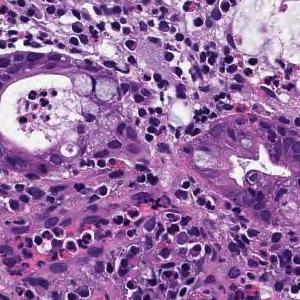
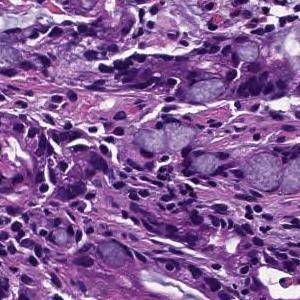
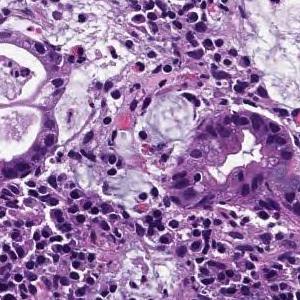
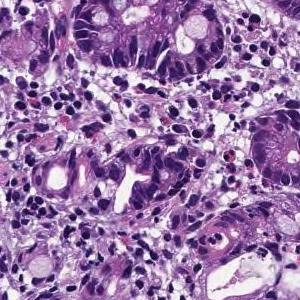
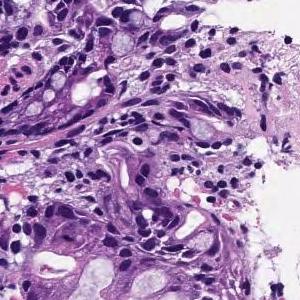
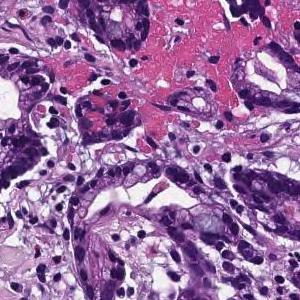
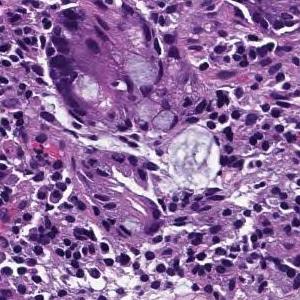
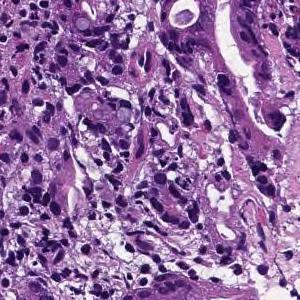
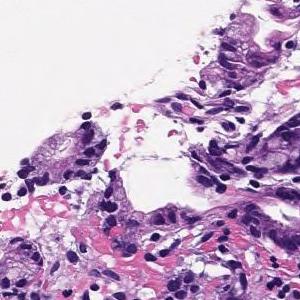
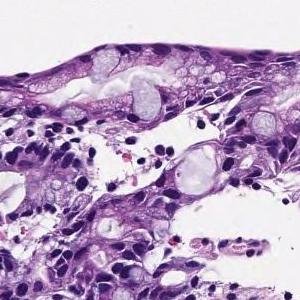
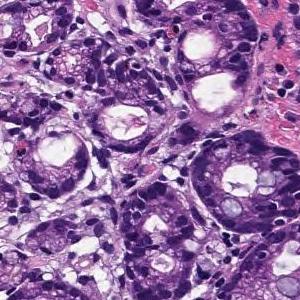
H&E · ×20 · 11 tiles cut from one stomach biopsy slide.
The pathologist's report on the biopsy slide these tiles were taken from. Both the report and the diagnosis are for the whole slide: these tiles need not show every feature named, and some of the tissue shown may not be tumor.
Tumor tissue consisting of medium-sized, cord-like or irregular glandular infiltration is observed in the superficial epithelium. Poorly differentiated adenocarcinoma, non-solid type or moderately differentiated tubular adenocarcinoma
Classified as moderately to poorly differentiated adenocarcinoma.
The term "non-solid type" comes from the Japanese Classification of Gastric Carcinoma.
